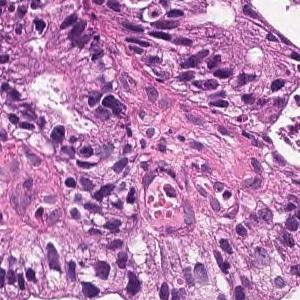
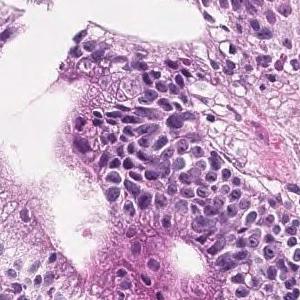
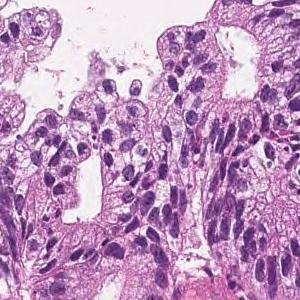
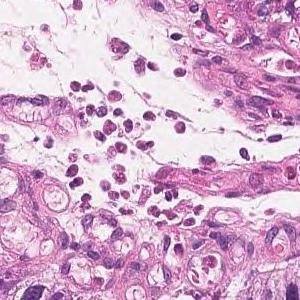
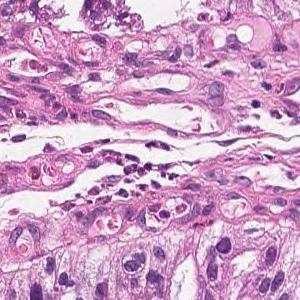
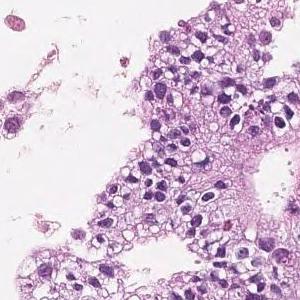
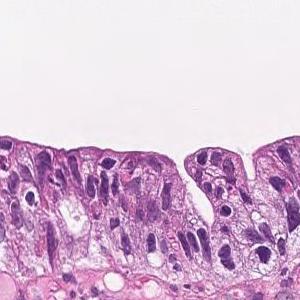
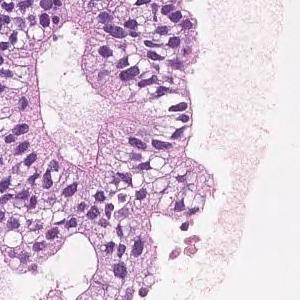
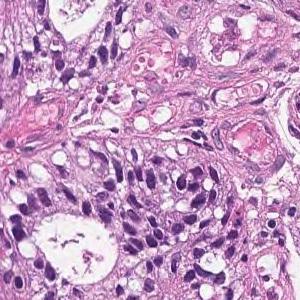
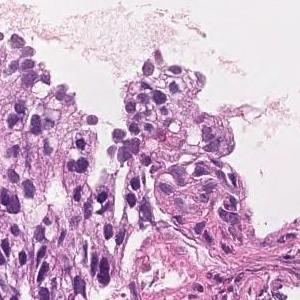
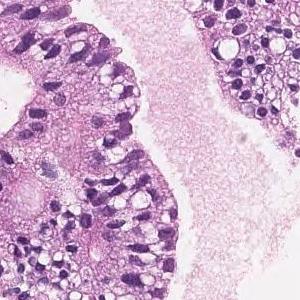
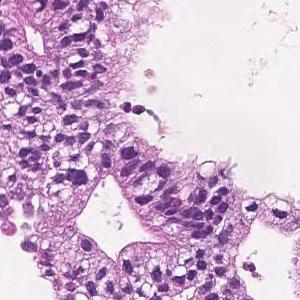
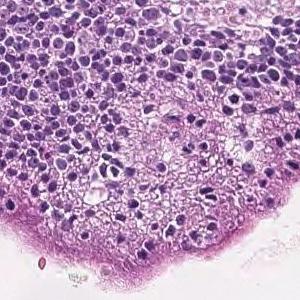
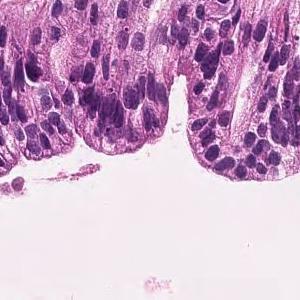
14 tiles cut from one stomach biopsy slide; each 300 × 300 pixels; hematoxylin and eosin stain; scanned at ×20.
Diagnostic report for the slide these tiles come from. The report and the diagnosis describe the slide as a whole, so these tiles may not show every feature named and may include non-tumor tissue.
On the superficial epithelium, tumor tissue that infiltrates by forming medium-sized papillary or small irregular ducts is observed. Papillary adenocarcinoma
